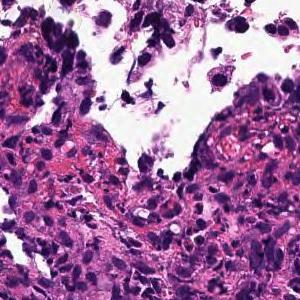
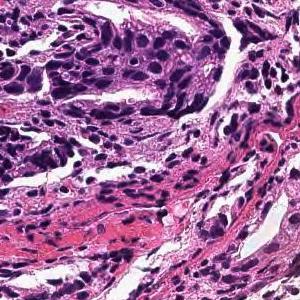
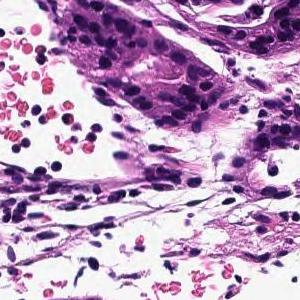
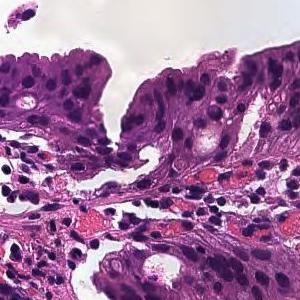
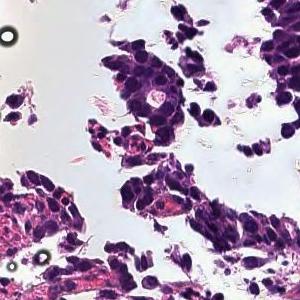
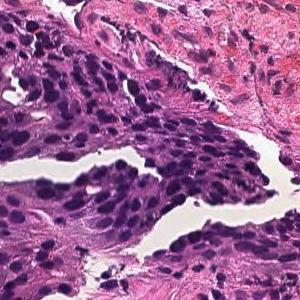
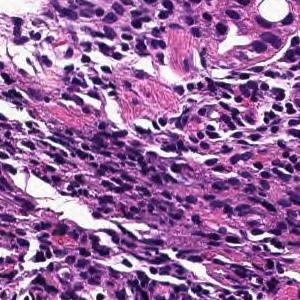
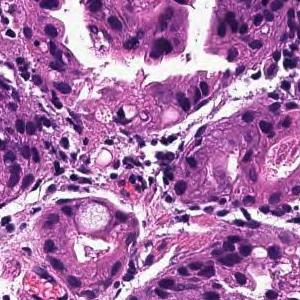
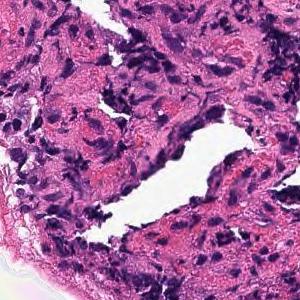
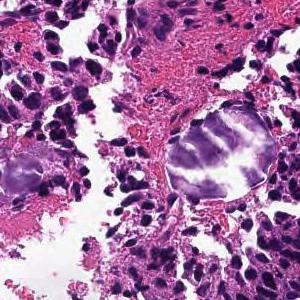
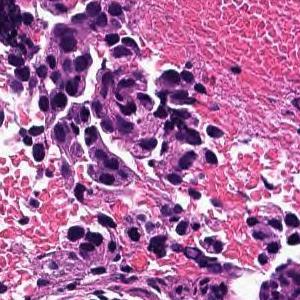
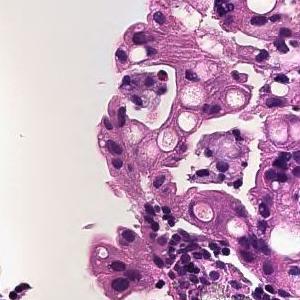
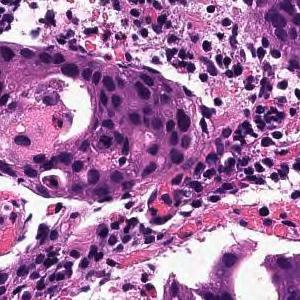
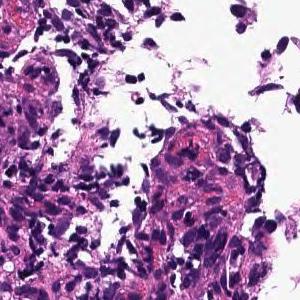
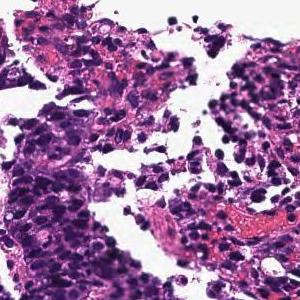
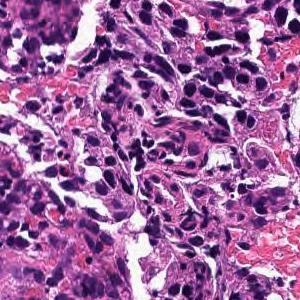
H&E, scanned at ×20, 16 patches cut from one gastric biopsy slide.
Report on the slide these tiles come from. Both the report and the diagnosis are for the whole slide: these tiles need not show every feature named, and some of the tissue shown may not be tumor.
In the superficial epithelium, tumor tissue that invades by forming medium-sized to small, irregular ducts is observed. moderately differentiated tubular adenocarcinoma.
